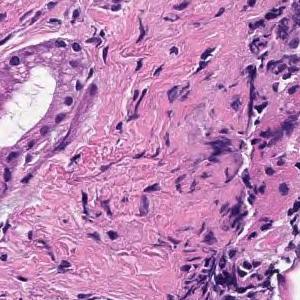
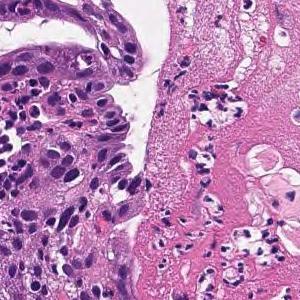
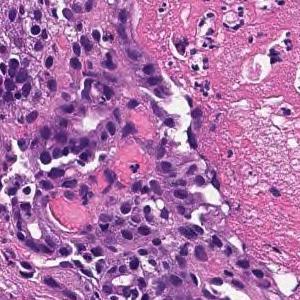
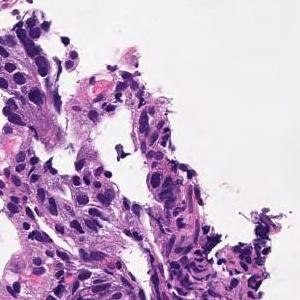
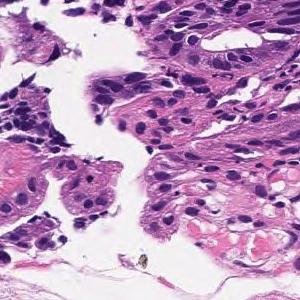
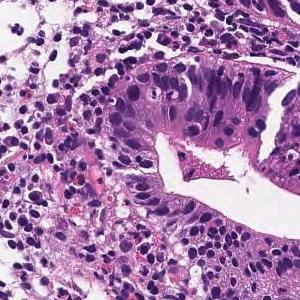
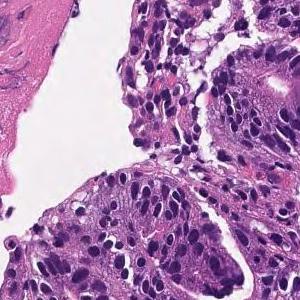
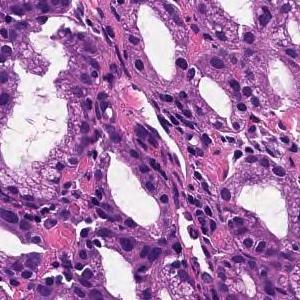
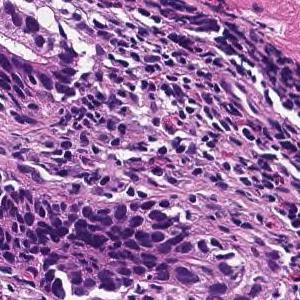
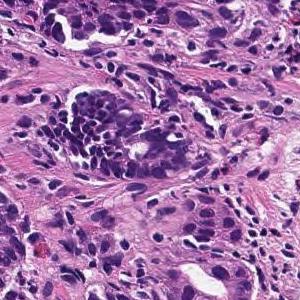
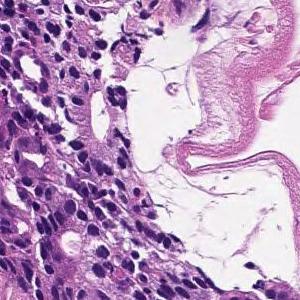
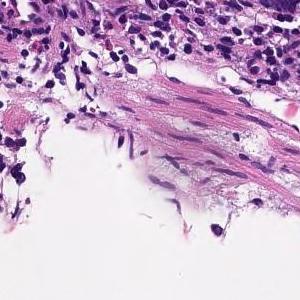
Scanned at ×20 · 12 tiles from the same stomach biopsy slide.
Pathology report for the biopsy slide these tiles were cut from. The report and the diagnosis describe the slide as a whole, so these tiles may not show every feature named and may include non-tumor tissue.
In the superficial epithelium, tumor tissue that invades by forming medium-sized to small, irregular ducts is observed. moderately differentiated tubular adenocarcinoma.
